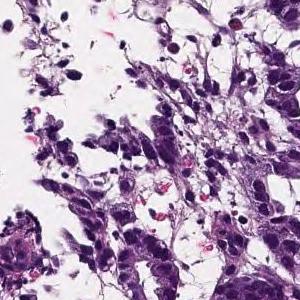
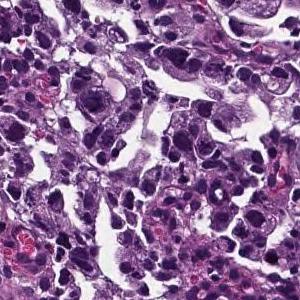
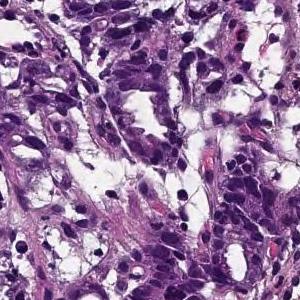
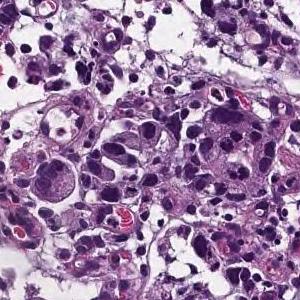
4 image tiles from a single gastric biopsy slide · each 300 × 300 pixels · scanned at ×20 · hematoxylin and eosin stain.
Pathology report for the biopsy slide these tiles were cut from. The report and the diagnosis describe the slide as a whole, so these tiles may not show every feature named and may include non-tumor tissue.
Medium to small, irregular glandular ducts are formed in the superficial epithelium, and in some cases, the glandular ducts are fused to show solid alveolar lesions and infiltrating tumor tissue is observed. Moderately to poorly differentiated adenocarcinoma.
